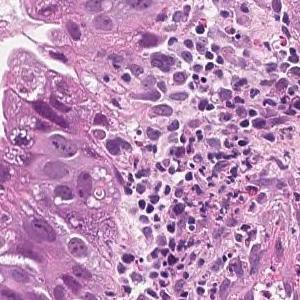
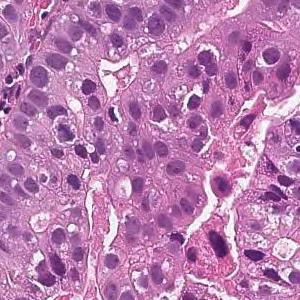
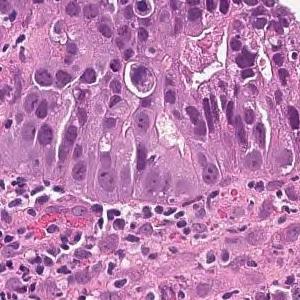
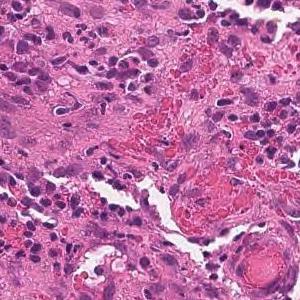
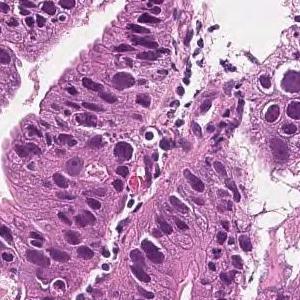
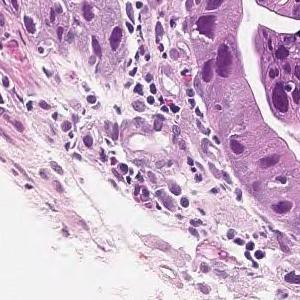
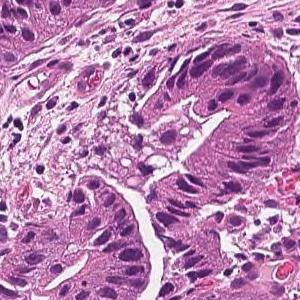
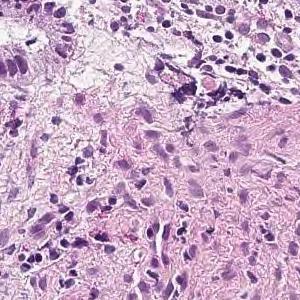
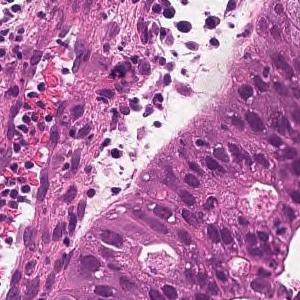
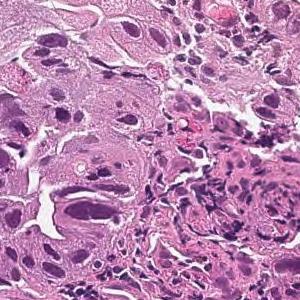
10 tiles cut from one stomach biopsy slide; 300 × 300 pixels each; scanned at ×20; H&E stain.
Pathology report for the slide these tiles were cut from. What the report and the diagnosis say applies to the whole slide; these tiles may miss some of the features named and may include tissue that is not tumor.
In the superficial epithelium, tumor tissue that invades by forming medium-sized to small, irregular ducts is observed. moderately differentiated tubular adenocarcinoma.
